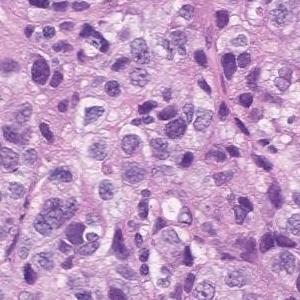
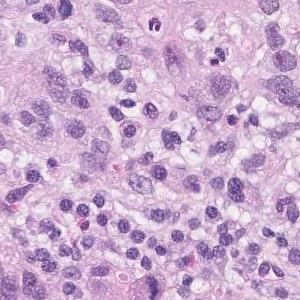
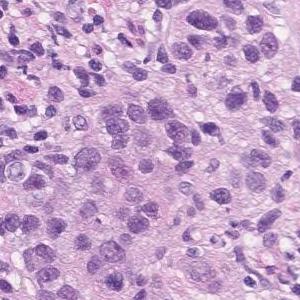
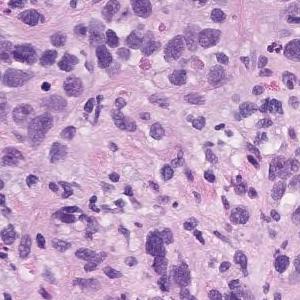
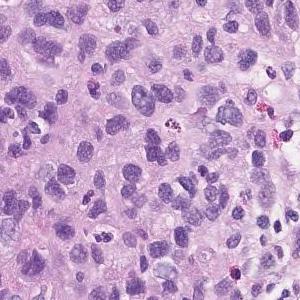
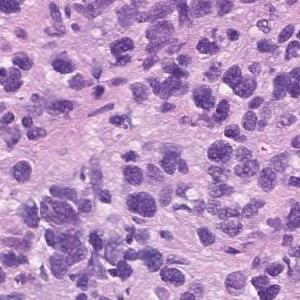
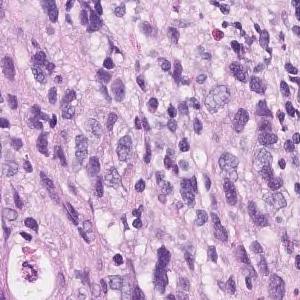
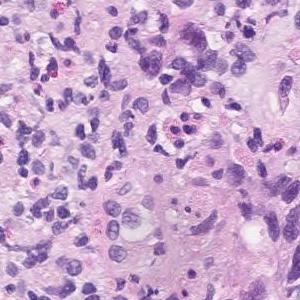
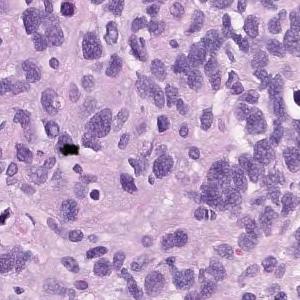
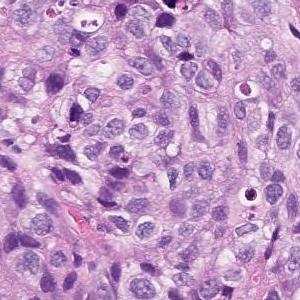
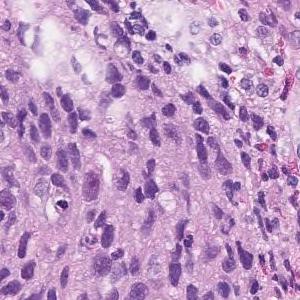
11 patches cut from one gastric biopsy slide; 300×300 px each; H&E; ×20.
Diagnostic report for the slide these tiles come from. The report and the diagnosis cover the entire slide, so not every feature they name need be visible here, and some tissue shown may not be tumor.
Atypical l cells with atypical nuclei under the mucosa growing in isolation and scattered. Poorly differentiated adenocarcinoma (poorly differentiated adenocarcinoma, non-solid type)
Subtype: Poorly differentiated adenocarcinoma, non-solid type.
The term "non-solid type" comes from the Japanese Classification of Gastric Carcinoma.
